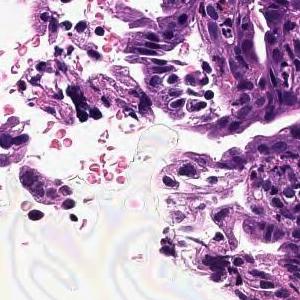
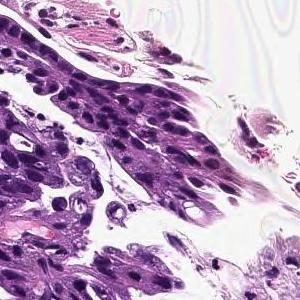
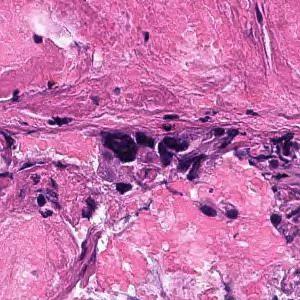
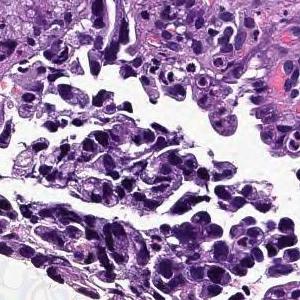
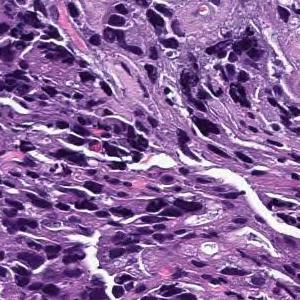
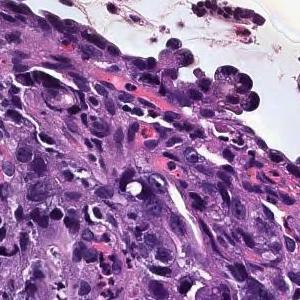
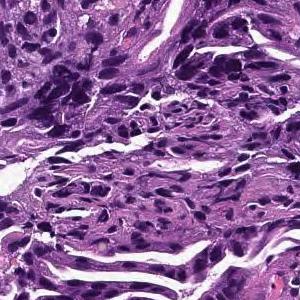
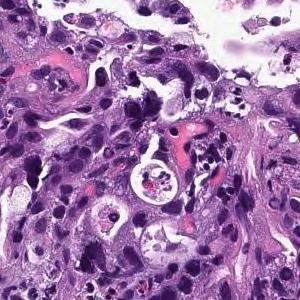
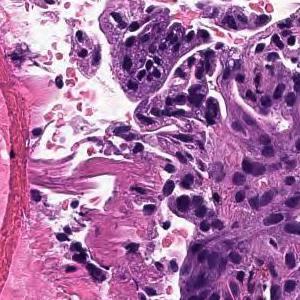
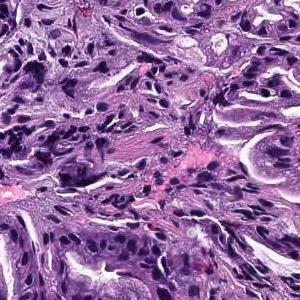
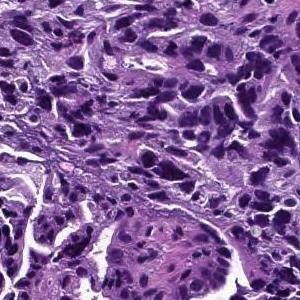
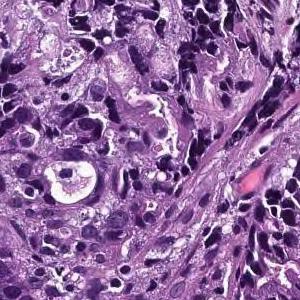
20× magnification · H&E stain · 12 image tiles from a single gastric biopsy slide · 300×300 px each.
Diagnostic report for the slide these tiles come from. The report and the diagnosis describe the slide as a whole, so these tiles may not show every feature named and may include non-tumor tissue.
The superficial epithelium shows small cord-like infiltrating tumor tissue. Tumor cells are invading single cell manner without mucin production. Poorly differentiated adenocarcinoma, non-solid type
The non-solid type named here is a Japanese Classification of Gastric Carcinoma category.
